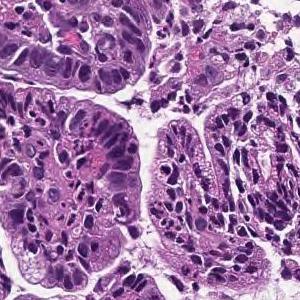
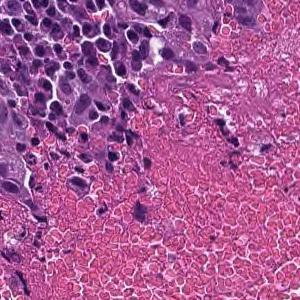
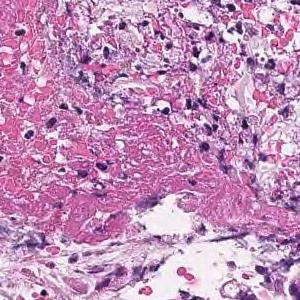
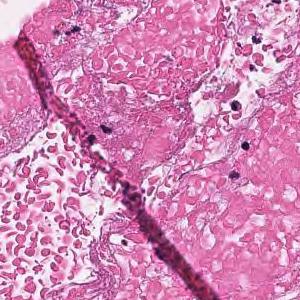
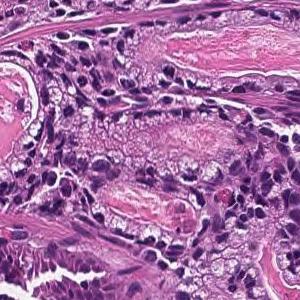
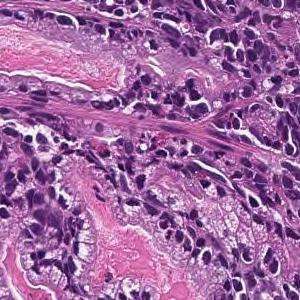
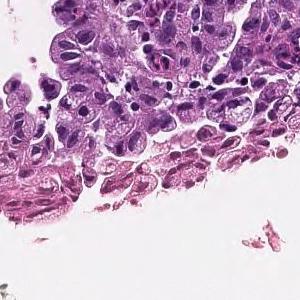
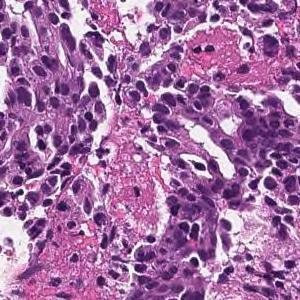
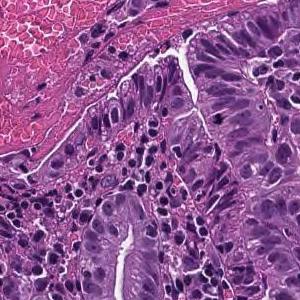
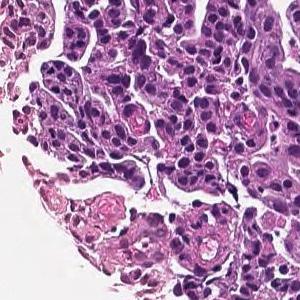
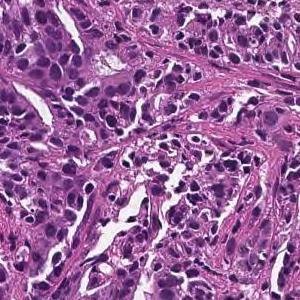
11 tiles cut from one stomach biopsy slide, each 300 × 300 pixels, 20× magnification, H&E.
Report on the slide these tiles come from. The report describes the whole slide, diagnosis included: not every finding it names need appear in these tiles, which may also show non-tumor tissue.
On the superficial epithelium, tumor tissue that infiltrates by forming medium-sized papillary or small irregular ducts is observed. Papillary adenocarcinoma
